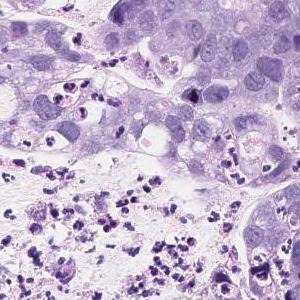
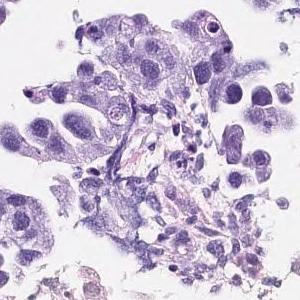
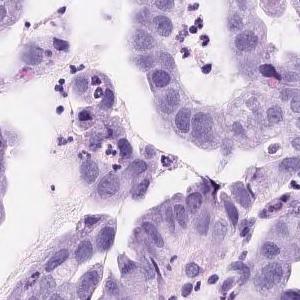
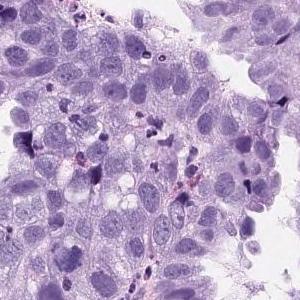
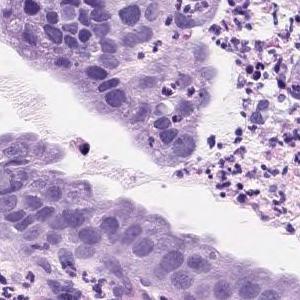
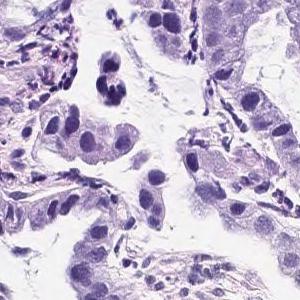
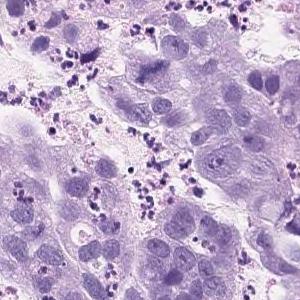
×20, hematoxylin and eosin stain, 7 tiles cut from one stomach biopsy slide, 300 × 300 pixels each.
The pathologist's report on the biopsy slide these tiles were taken from. The report and the diagnosis cover the entire slide, so not every feature they name need be visible here, and some tissue shown may not be tumor.
Atypical l cells with atypical nuclei forming solid or diffuse vesicles or small irregular atypical ducts and growing in a complex manner. Well differentiated tubular adenocarcinoma
